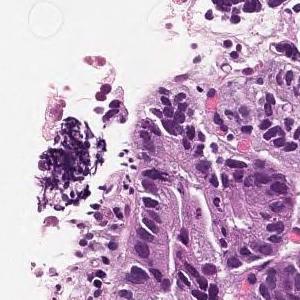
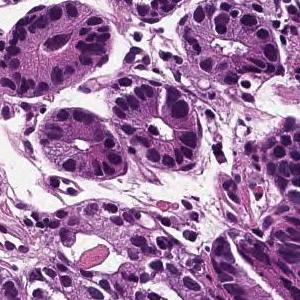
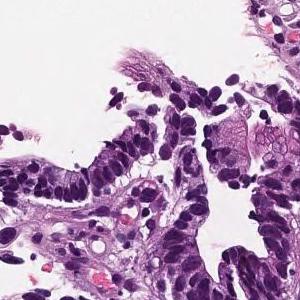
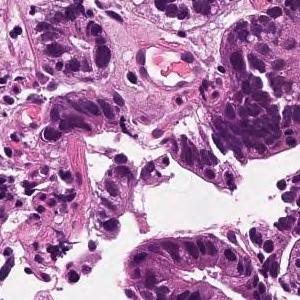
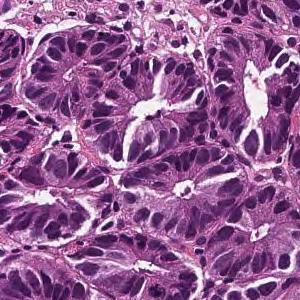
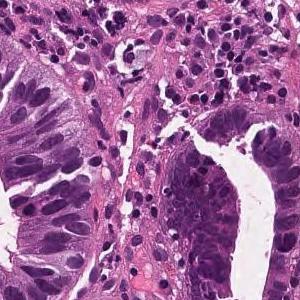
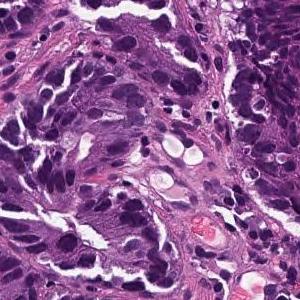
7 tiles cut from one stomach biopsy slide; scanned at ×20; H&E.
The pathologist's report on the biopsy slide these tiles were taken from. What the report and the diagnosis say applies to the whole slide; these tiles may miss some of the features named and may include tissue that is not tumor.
From the superficial epithelium to the muscularis mucosae, tumor tissue consisting of medium-sized and irregular glandular ducts infiltrating is observed. Well differentiated tubular adenocarcinoma
